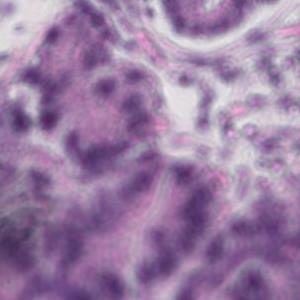
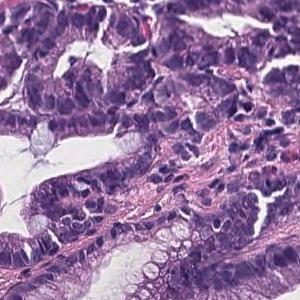
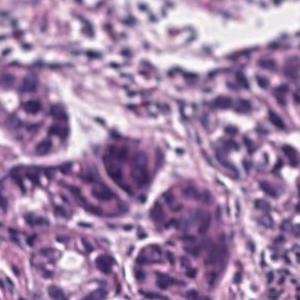
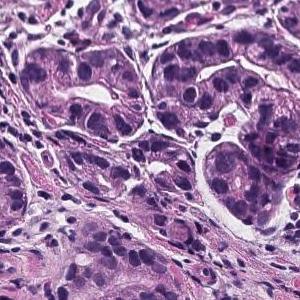
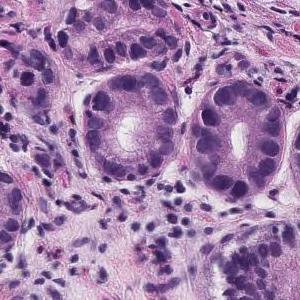
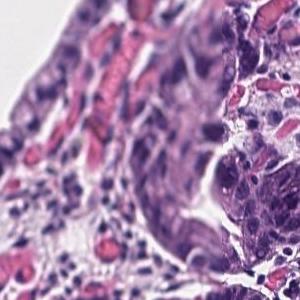
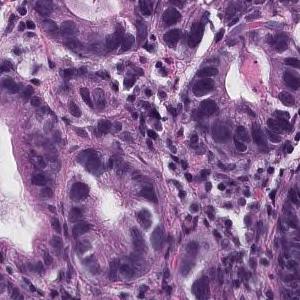
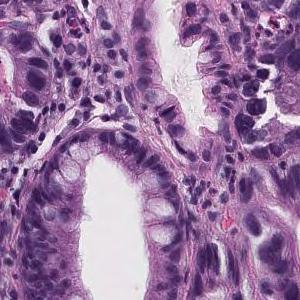
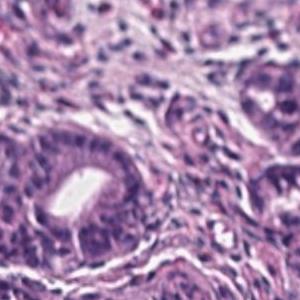
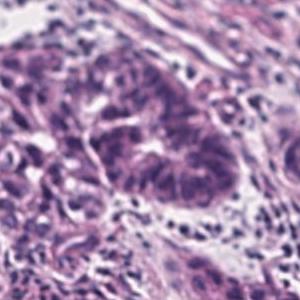
×20; H&E; 10 patches cut from one gastric biopsy slide; each 300 × 300 pixels.
Pathology report for the biopsy slide these tiles were cut from. The report describes the whole slide, diagnosis included: not every finding it names need appear in these tiles, which may also show non-tumor tissue.
On the superficial epithelium, tumor tissue consisting of medium to small irregular tubules partially fused and proliferated is observed. Well differentiated tubular adenocarcinoma
